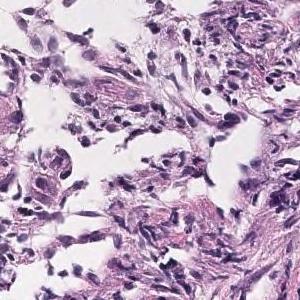
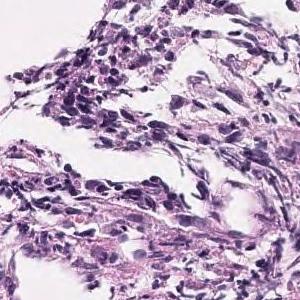
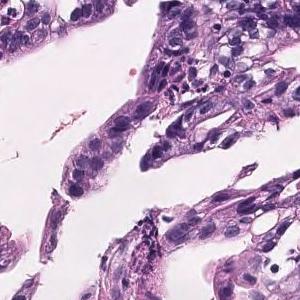
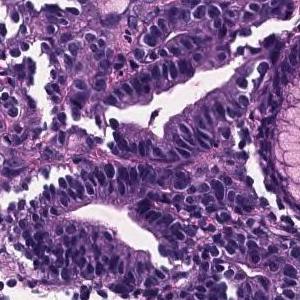
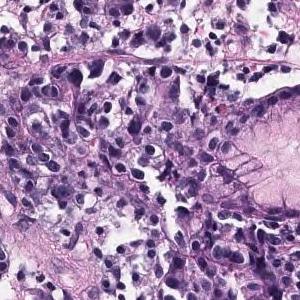
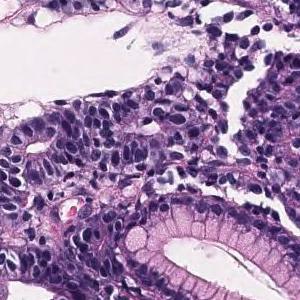
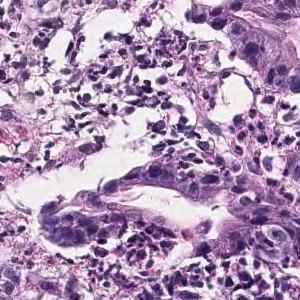
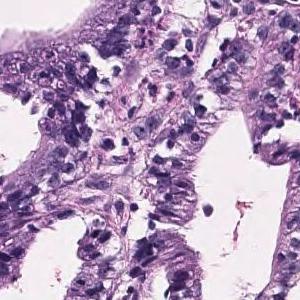
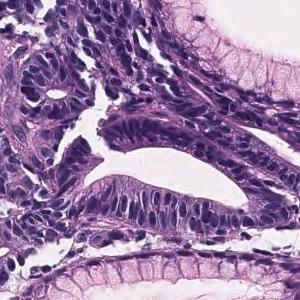
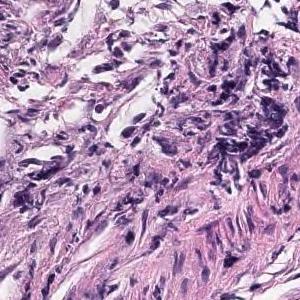
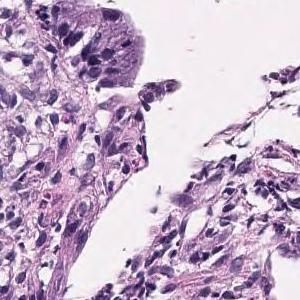
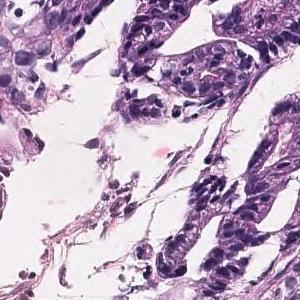
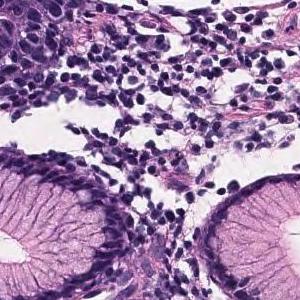
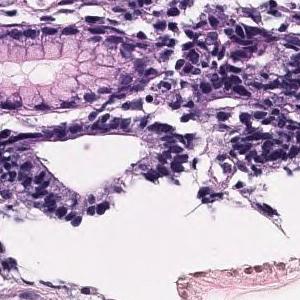
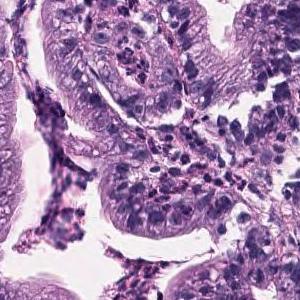
15 tiles cut from one stomach biopsy slide · 300 × 300 pixels each · scanned at ×20.
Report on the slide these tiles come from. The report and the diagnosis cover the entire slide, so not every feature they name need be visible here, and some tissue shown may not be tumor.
Tumor tissue in which highly columnar atypical epithelial cells with nuclear enlargement and increased nuclear chromatin show papillary to papillary ductal structure and proliferate is observed. Papillary adenocarcinoma.
